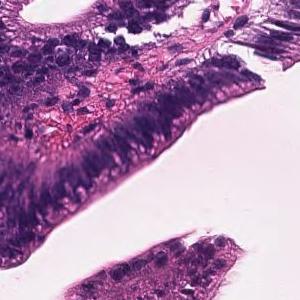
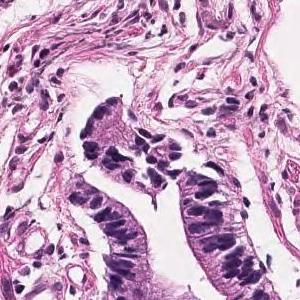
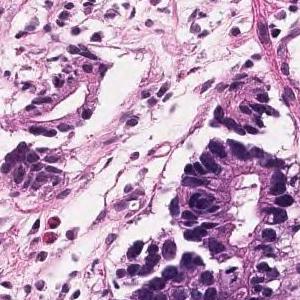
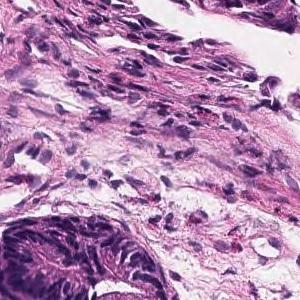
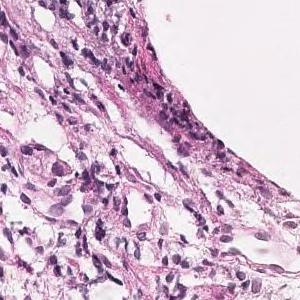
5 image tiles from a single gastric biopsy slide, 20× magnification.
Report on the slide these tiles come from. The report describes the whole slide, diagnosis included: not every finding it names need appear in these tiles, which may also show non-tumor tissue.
Tumor tissue in which medium to small irregular ducts infiltrate and proliferate in the submucosa can be seen in the epithelium. Well differentiated tubular adenocarcinoma
